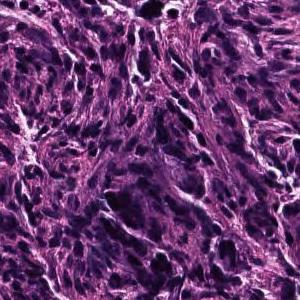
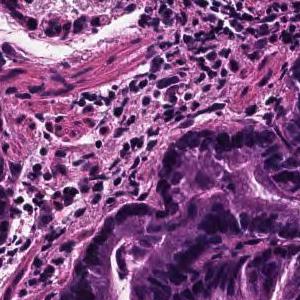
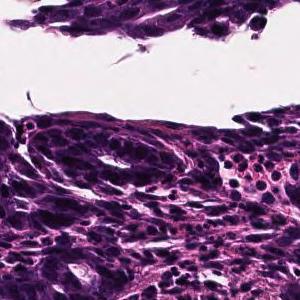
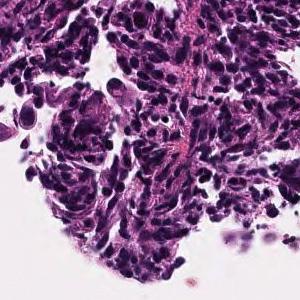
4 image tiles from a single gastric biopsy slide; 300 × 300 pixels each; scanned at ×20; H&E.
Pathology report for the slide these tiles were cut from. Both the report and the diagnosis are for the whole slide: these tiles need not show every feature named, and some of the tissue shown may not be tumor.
On the superficial epithelium, tumor tissue consisting of large, irregular glandular ducts partially fused and infiltrated is observed. Well to moderately differentiated tubular adenocarcinoma (well differentiated tubular adenocarcinoma, moderately differentiated tubular adenocarcinoma)
Histological subtype: Well to moderately differentiated tubular adenocarcinoma.
